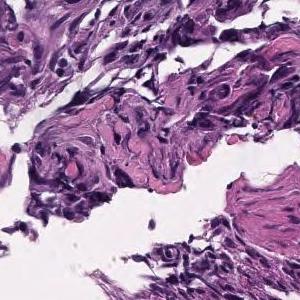
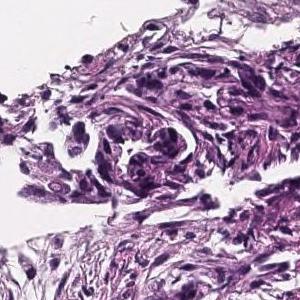
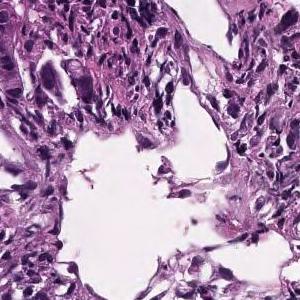
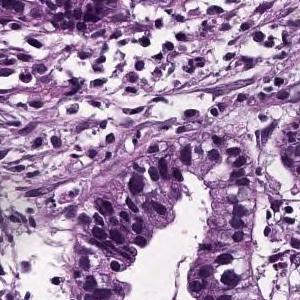
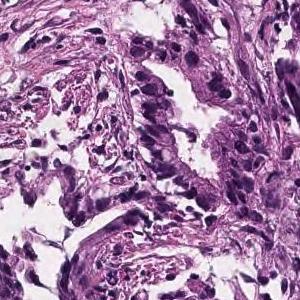
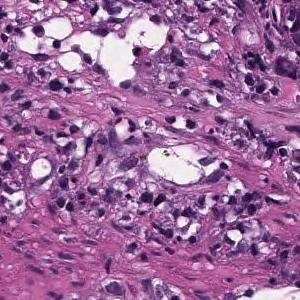
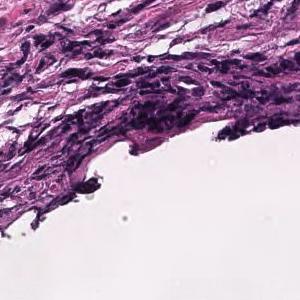
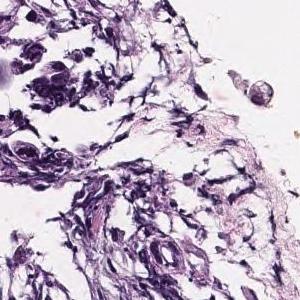
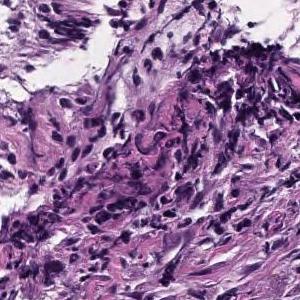
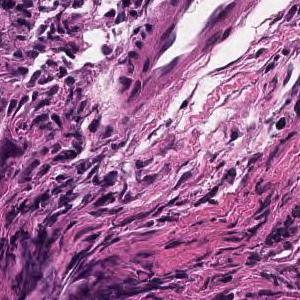
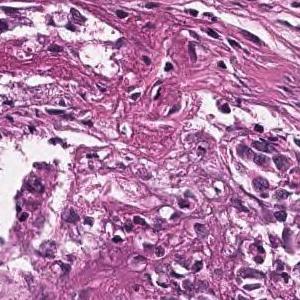
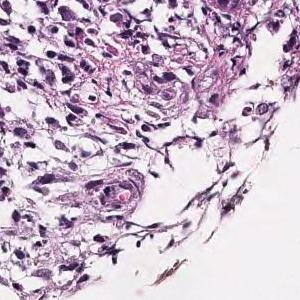
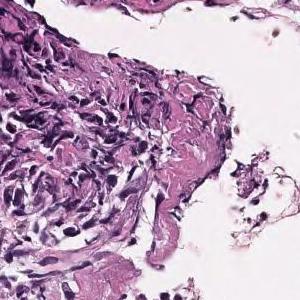
13 patches cut from one gastric biopsy slide; 300×300 px each; H&E; ×20.
Diagnostic report for the slide these tiles come from. The findings and the diagnosis refer to the entire slide; these tiles show only part of it, possibly with non-tumor tissue, and may not show every feature named.
In the superficial epithelium, tumor tissue that invades by forming medium-sized to small, irregular ducts is observed. moderately differentiated tubular adenocarcinoma.
